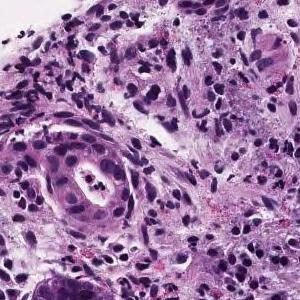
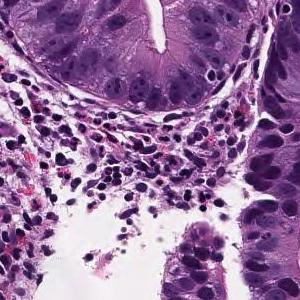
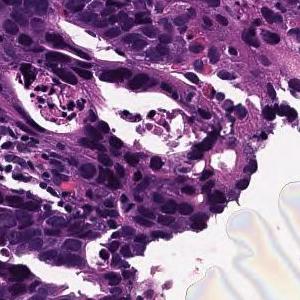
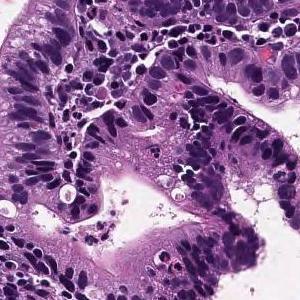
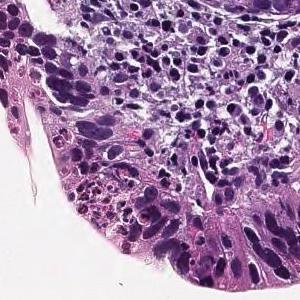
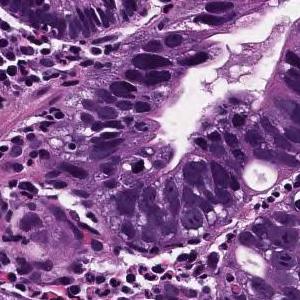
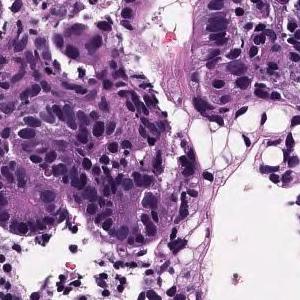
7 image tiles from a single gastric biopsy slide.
Report on the slide these tiles come from. What the report and the diagnosis say applies to the whole slide; these tiles may miss some of the features named and may include tissue that is not tumor.
From the superficial epithelium to the muscularis mucosae, tumor tissue consisting of medium-sized and irregular glandular ducts infiltrating is observed. Well differentiated tubular adenocarcinoma
